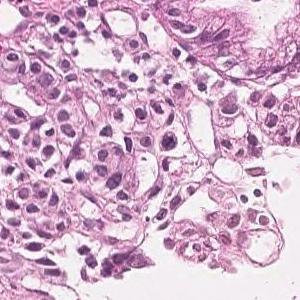
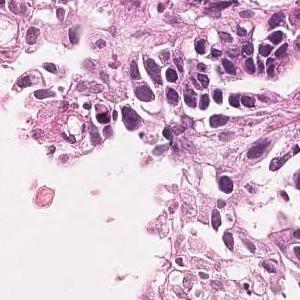
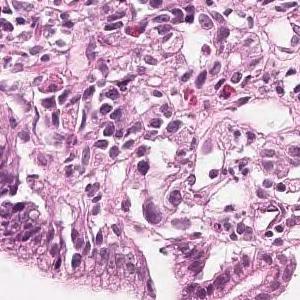
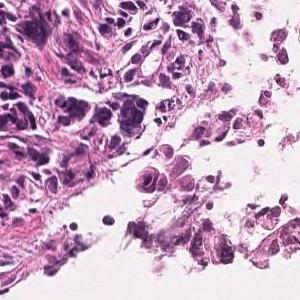
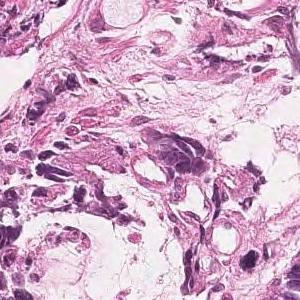
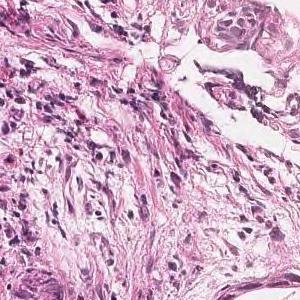
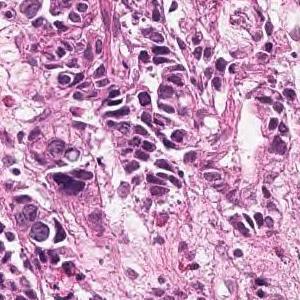
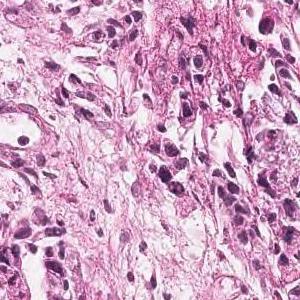
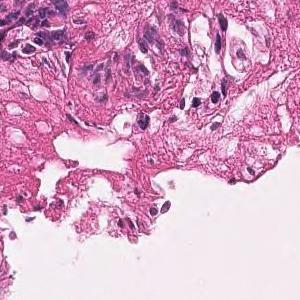
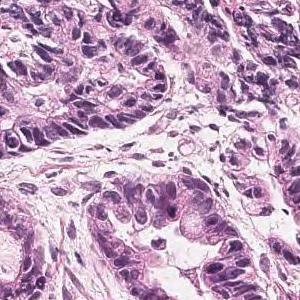
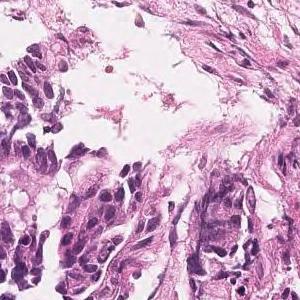
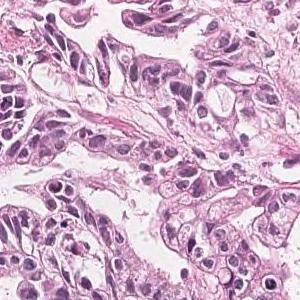
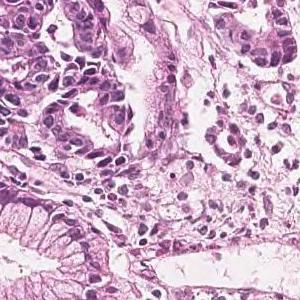
13 tiles cut from one stomach biopsy slide · H&E.
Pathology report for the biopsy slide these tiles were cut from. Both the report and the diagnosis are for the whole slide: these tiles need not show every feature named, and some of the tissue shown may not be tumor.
On the superficial epithelium, tumor tissue consisting of large, irregular glandular ducts partially fused and infiltrated is observed. Well to moderately differentiated tubular adenocarcinoma (well differentiated tubular adenocarcinoma, moderately differentiated tubular adenocarcinoma)
Subtype: Well to moderately differentiated tubular adenocarcinoma.
